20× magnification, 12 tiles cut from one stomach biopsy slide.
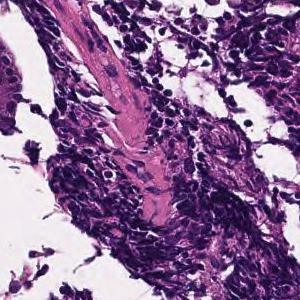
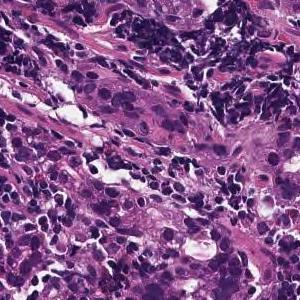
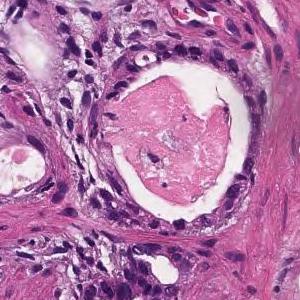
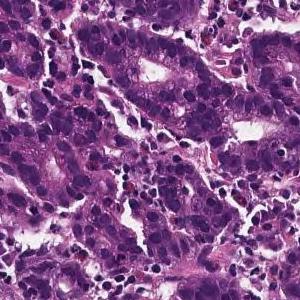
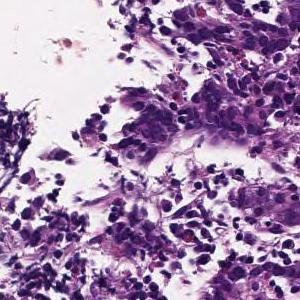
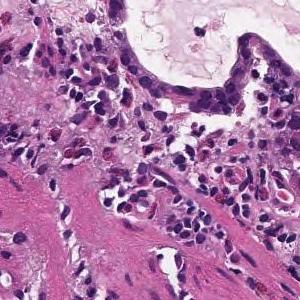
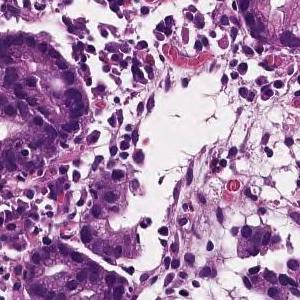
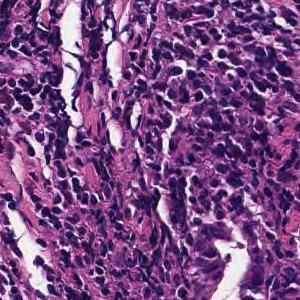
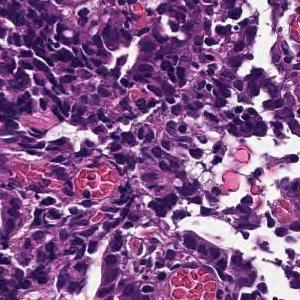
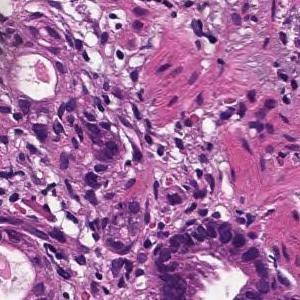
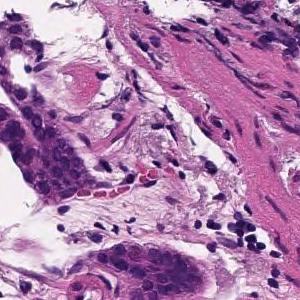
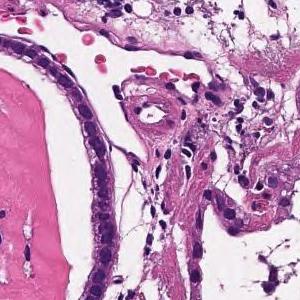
Diagnostic report for the slide these tiles come from. The report describes the whole slide, diagnosis included: not every finding it names need appear in these tiles, which may also show non-tumor tissue.
Tumor tissue consisting of medium-sized, cord-like or irregular glandular infiltration is observed in the superficial epithelium. Poorly differentiated adenocarcinoma, non-solid type or moderately differentiated tubular adenocarcinoma
Histologic type: Moderately to poorly differentiated adenocarcinoma.
The term "non-solid type" comes from the Japanese Classification of Gastric Carcinoma.
